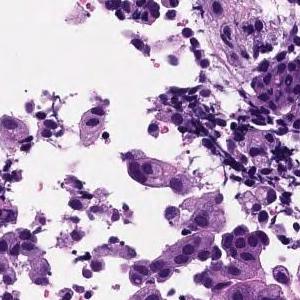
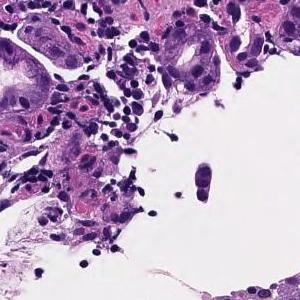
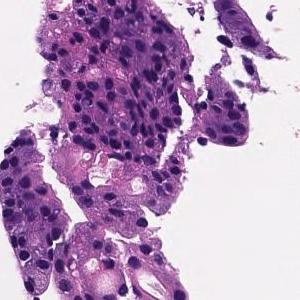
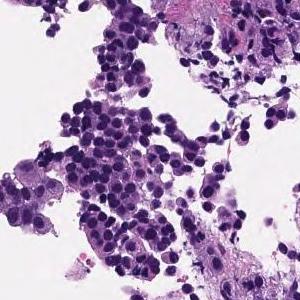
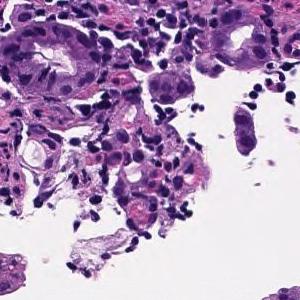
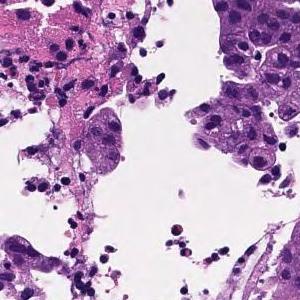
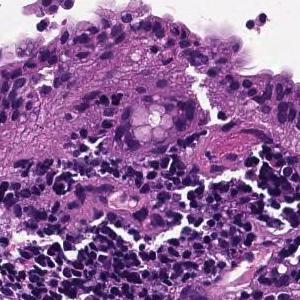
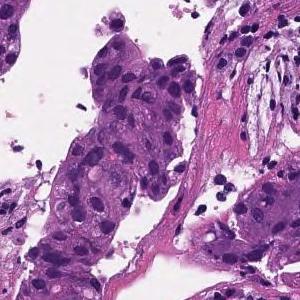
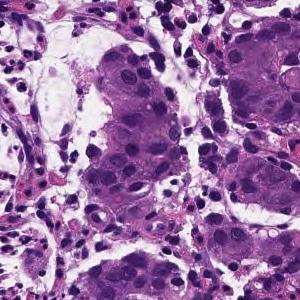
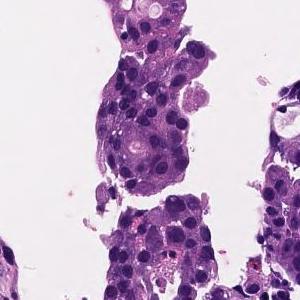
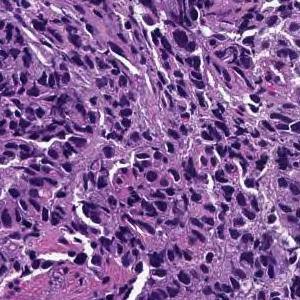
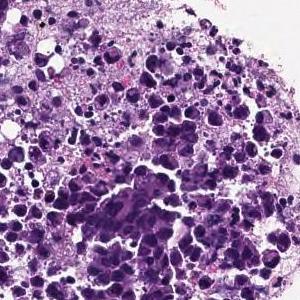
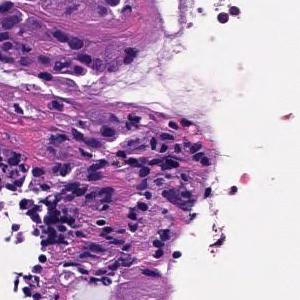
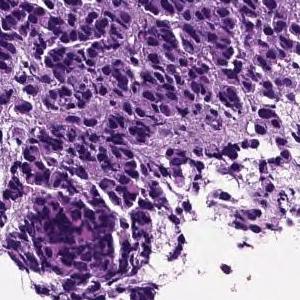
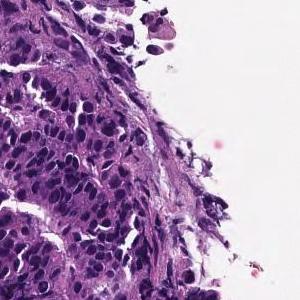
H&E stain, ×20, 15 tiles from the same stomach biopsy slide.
The pathologist's report on the biopsy slide these tiles were taken from. What the report and the diagnosis say applies to the whole slide; these tiles may miss some of the features named and may include tissue that is not tumor.
The superficial epithelium shows a large sheet-like shape, and some tumor tissue infiltrates with small irregular ducts. Poorly differentiated adenocarcinoma, solid-type
Subtype: Poorly differentiated adenocarcinoma, solid type. This name comes from the Japanese Classification of Gastric Carcinoma; the WHO 2019 classification calls it tubular adenocarcinoma, poorly differentiated.
